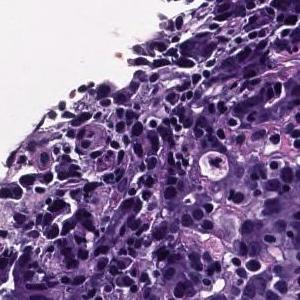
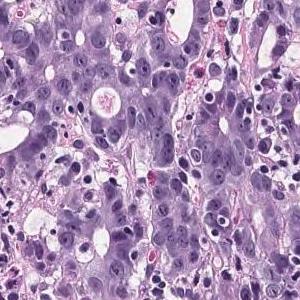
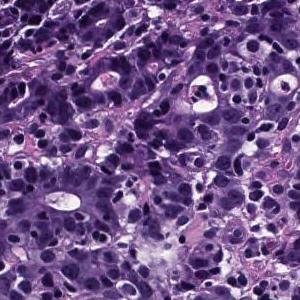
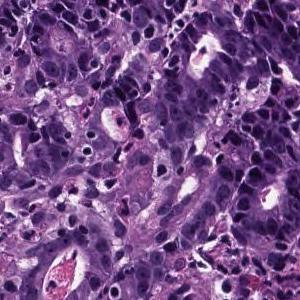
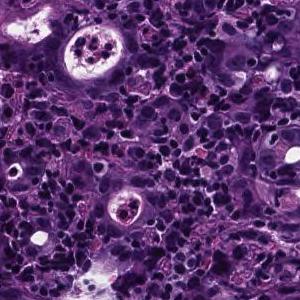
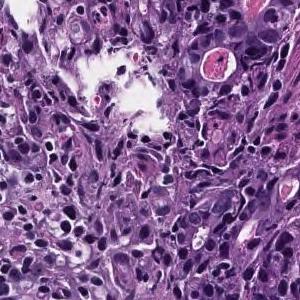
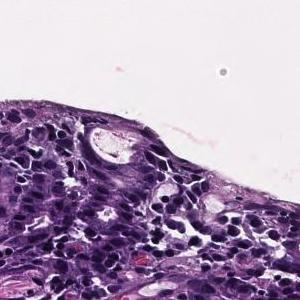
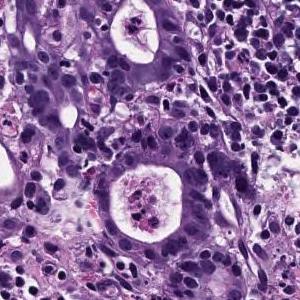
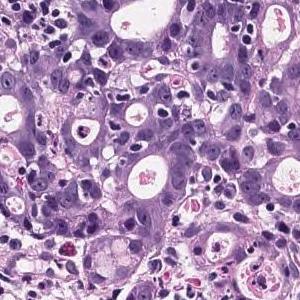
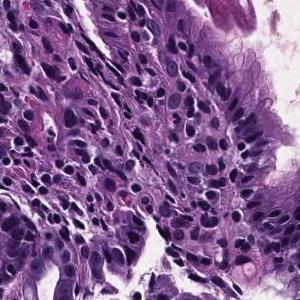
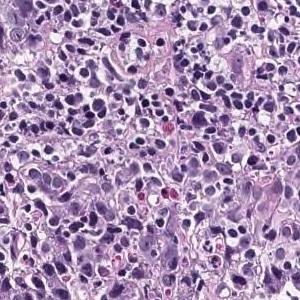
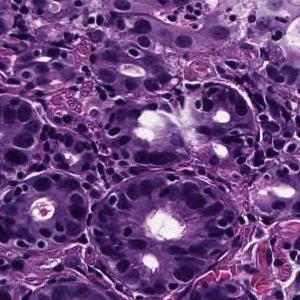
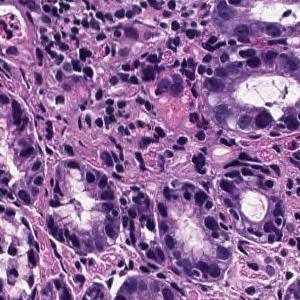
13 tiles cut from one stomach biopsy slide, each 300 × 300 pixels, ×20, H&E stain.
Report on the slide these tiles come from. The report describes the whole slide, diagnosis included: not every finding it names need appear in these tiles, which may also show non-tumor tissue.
In the superficial epithelium, tumor tissue that invades by forming medium-sized to small, irregular ducts is observed. moderately differentiated tubular adenocarcinoma.
